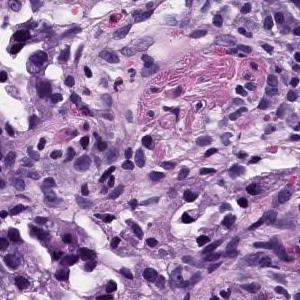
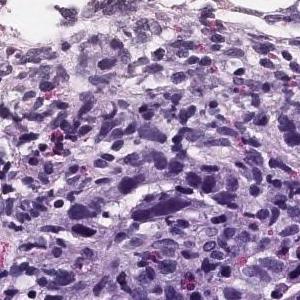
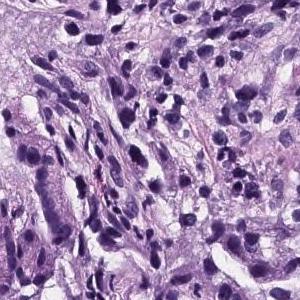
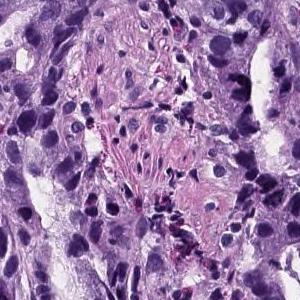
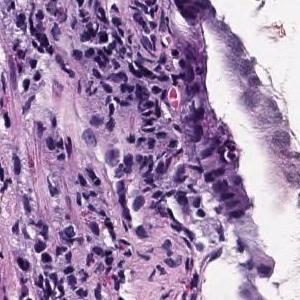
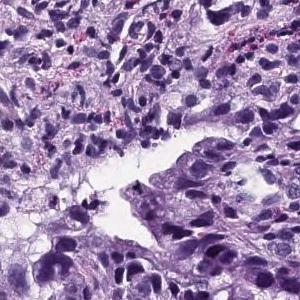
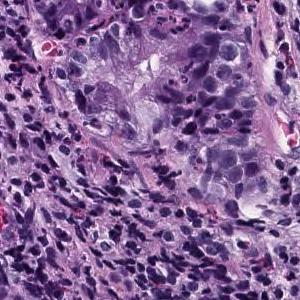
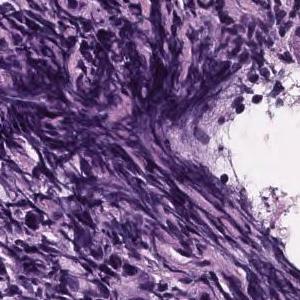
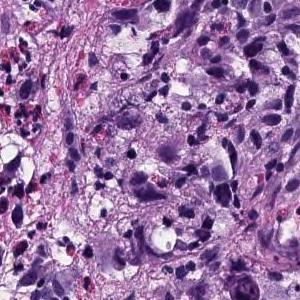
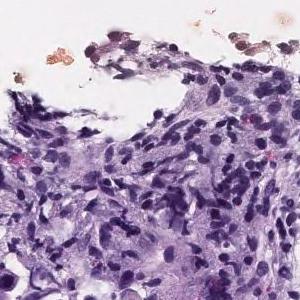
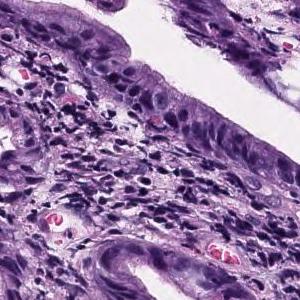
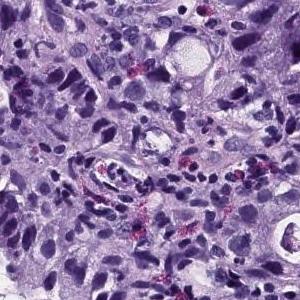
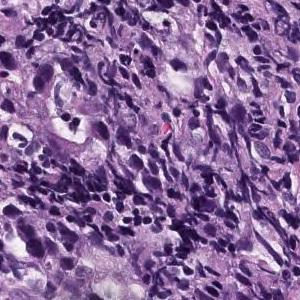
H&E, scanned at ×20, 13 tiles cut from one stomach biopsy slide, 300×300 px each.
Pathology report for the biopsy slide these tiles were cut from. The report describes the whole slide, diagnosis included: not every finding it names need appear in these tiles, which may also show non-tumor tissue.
Atypical epithelial cells infiltrating and proliferating while forming solid or cord-like fused glandular cavities of different sizes is observed. moderately differentiated tubular adenocarcinoma, poorly differentiated adenocarcinoma.
Classified as moderately to poorly differentiated adenocarcinoma.
